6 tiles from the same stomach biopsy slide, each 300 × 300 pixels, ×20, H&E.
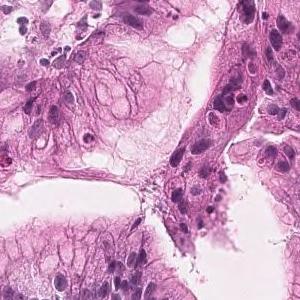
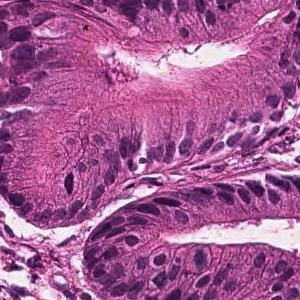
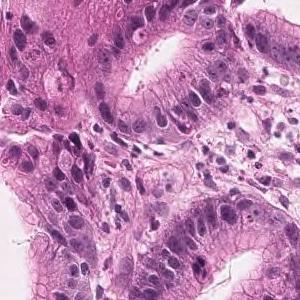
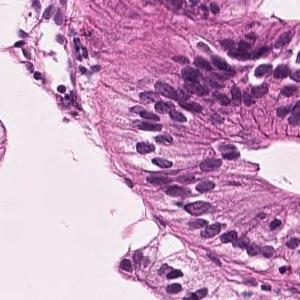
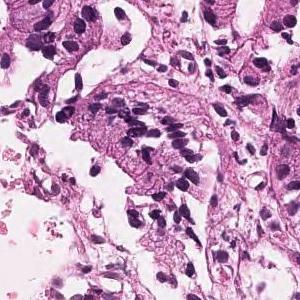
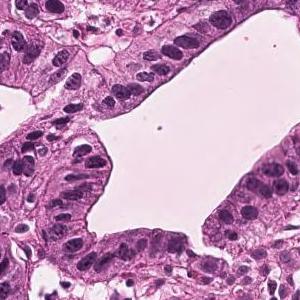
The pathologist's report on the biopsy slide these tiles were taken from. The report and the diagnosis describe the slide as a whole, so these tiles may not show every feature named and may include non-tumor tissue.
Tumor tissue consisting of medium-sized and irregular ducts is observed infiltrating in the superficial epithelium. Tumor cells are highly columnar, with nuclei aligned basolaterally and polarized. Well differentiated tubular adenocarcinoma.
